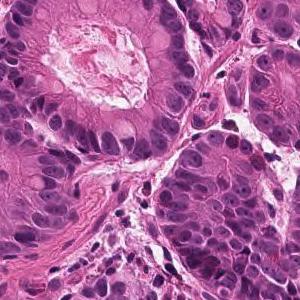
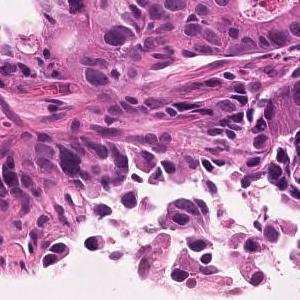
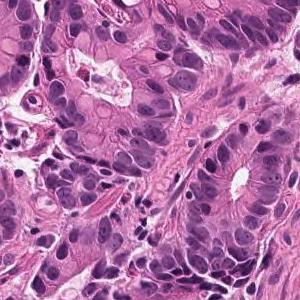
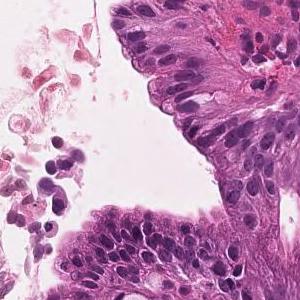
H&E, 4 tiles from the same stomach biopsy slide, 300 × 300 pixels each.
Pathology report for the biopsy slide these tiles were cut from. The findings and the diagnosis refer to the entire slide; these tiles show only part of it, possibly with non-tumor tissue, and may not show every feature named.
In the superficial epithelium, tumor tissue that invades by forming medium-sized to small, irregular ducts is observed. Well differentiated tubular adenocarcinoma.
